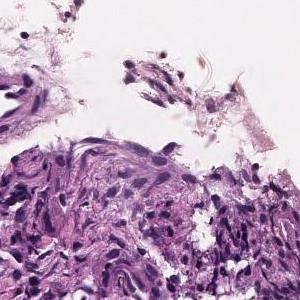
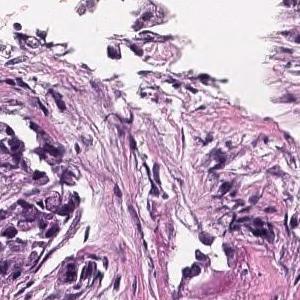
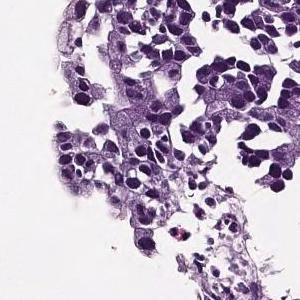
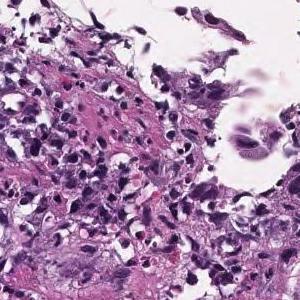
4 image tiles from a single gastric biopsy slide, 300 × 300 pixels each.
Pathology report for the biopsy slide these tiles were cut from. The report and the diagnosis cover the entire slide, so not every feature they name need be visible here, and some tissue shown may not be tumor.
In the superficial epithelium, tumor tissue that invades by forming medium-sized to small, irregular ducts is observed. moderately differentiated tubular adenocarcinoma.
